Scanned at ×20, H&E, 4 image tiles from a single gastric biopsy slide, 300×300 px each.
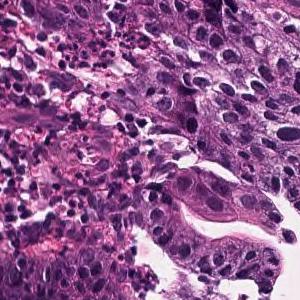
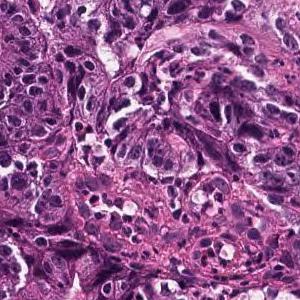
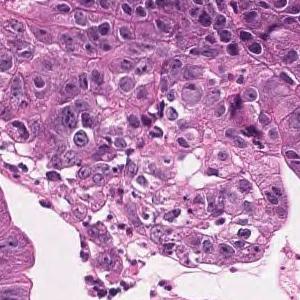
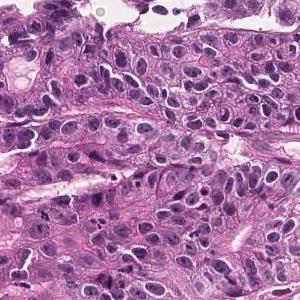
Pathology report for the biopsy slide these tiles were cut from. Both the report and the diagnosis are for the whole slide: these tiles need not show every feature named, and some of the tissue shown may not be tumor.
In the superficial epithelium, tumor tissue that invades by forming medium-sized to small, irregular ducts is observed. Well differentiated tubular adenocarcinoma.
